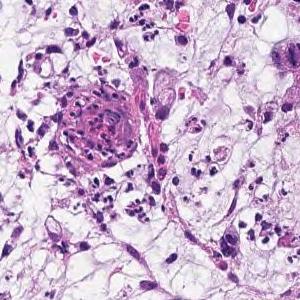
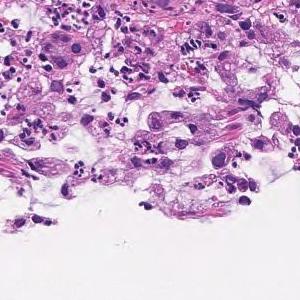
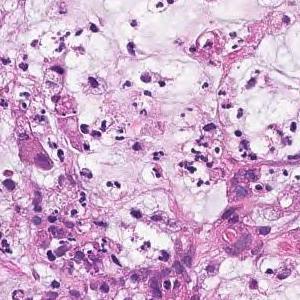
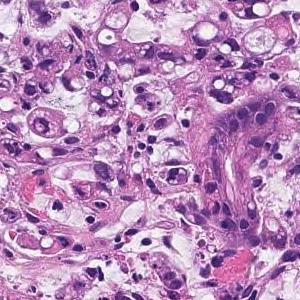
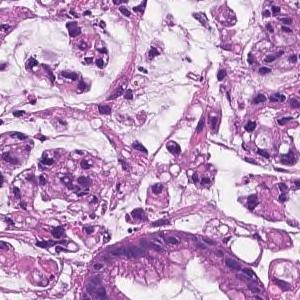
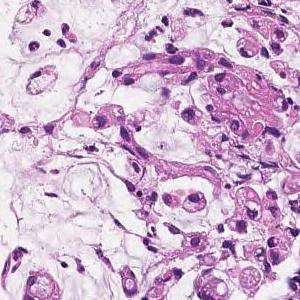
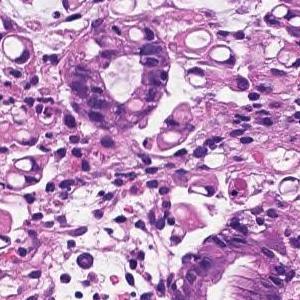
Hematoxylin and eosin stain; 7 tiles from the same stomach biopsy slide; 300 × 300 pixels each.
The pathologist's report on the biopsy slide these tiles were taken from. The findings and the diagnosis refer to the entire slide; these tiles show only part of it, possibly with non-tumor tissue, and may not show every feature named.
Tumor tissue consisting of cord-like or small, irregular glandular ducts fused and infiltrated is observed in the superficial epithelium. Poorly differentiated adenocarcinoma, non-solid type
"Non-solid type" is a category of the Japanese Classification of Gastric Carcinoma.
